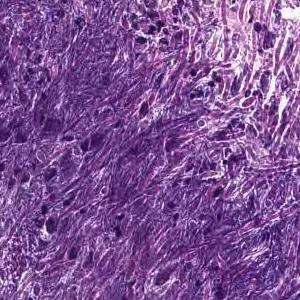
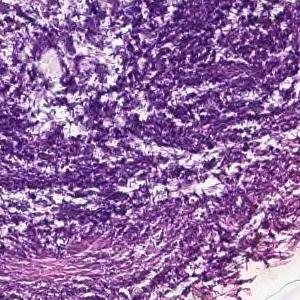
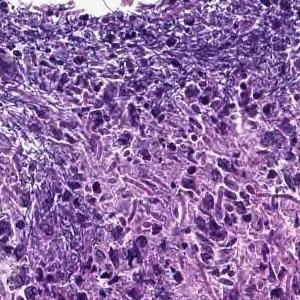
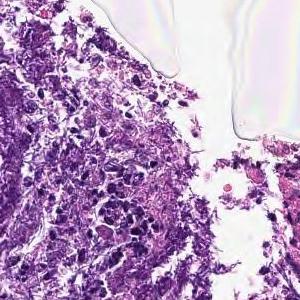
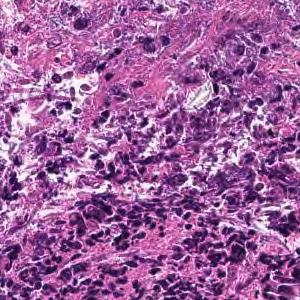
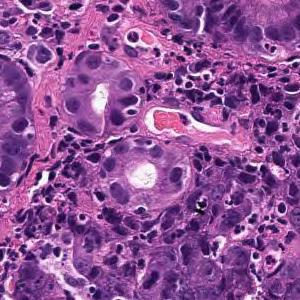
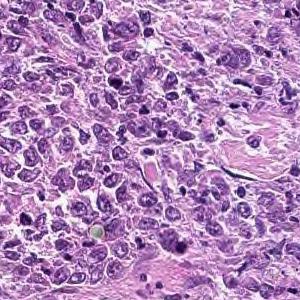
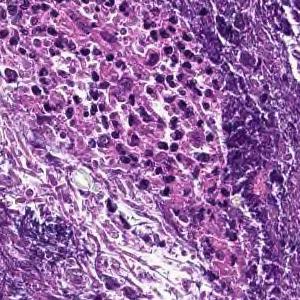
×20 · 8 tiles from the same stomach biopsy slide.
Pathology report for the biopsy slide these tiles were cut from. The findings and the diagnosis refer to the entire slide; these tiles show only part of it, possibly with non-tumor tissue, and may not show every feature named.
Cancers with polygonal nuclei do not show glandular formation and are densely, in part, cord-like and proliferate. Poorly differentiated adenocarcinoma
Classified as poorly differentiated adenocarcinoma, non-solid type.
The non-solid type named here is a Japanese Classification of Gastric Carcinoma category.
